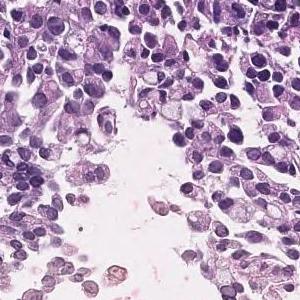
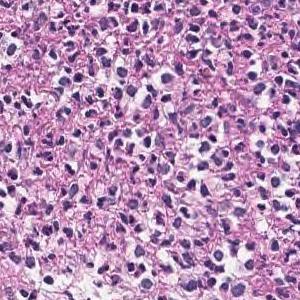
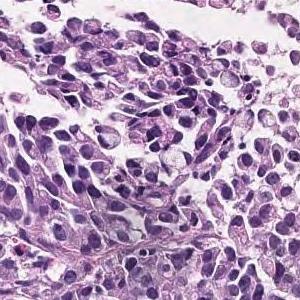
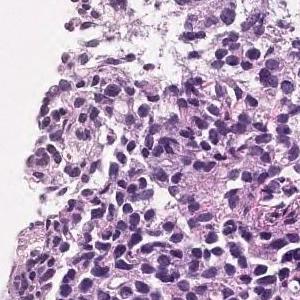
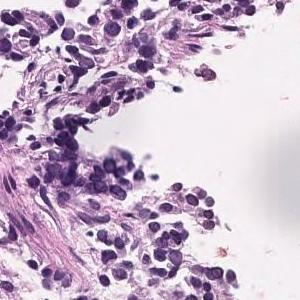
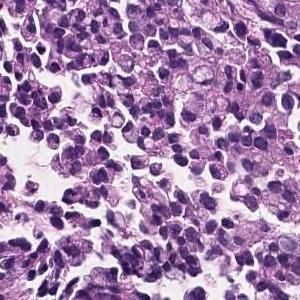
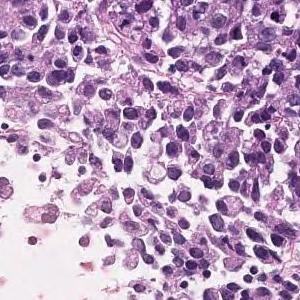
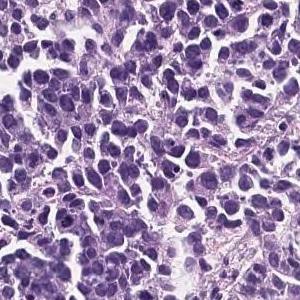
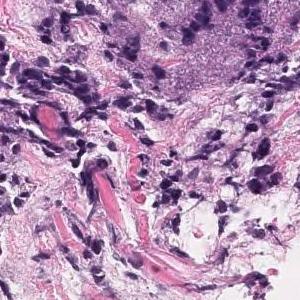
H&E stain · 9 tiles from the same stomach biopsy slide · 300×300 px each.
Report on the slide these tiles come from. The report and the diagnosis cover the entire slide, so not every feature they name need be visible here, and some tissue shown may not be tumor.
The superficial epithelium shows a large sheet-like shape, and some tumor tissue infiltrates with small irregular ducts. Poorly differentiated adenocarcinoma, solid-type
Histological subtype: Poorly differentiated adenocarcinoma, solid type, a category of the Japanese Classification of Gastric Carcinoma; in the WHO 2019 classification it is tubular adenocarcinoma, poorly differentiated.
